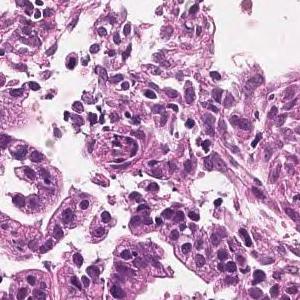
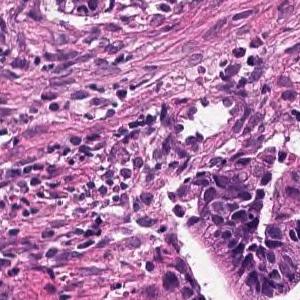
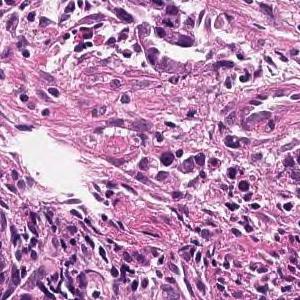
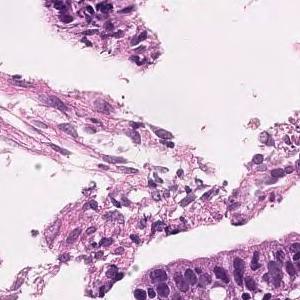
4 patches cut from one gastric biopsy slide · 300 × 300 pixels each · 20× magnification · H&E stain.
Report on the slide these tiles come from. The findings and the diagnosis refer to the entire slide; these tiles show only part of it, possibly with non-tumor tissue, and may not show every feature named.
Tumor cells are large, highly columnar, large club-shaped nuclei, and are associated with chromatin aggregation. Papillary adenocarcinoma.
